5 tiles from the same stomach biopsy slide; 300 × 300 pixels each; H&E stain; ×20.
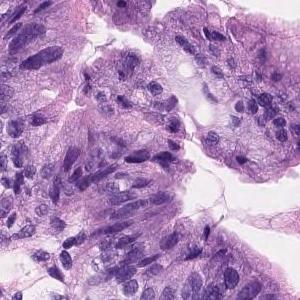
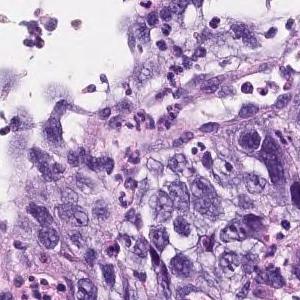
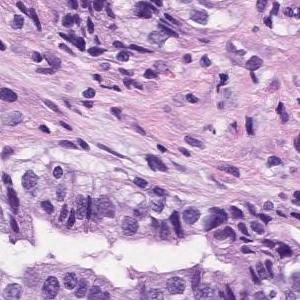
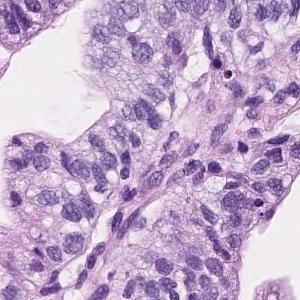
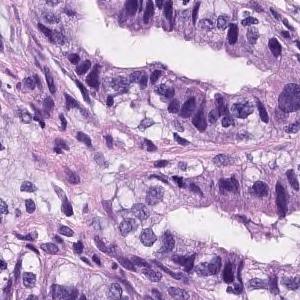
Pathology report for the biopsy slide these tiles were cut from. The report describes the whole slide, diagnosis included: not every finding it names need appear in these tiles, which may also show non-tumor tissue.
Tumor cells are large, highly columnar, large club-shaped nuclei, and are associated with chromatin aggregation. Papillary adenocarcinoma.
